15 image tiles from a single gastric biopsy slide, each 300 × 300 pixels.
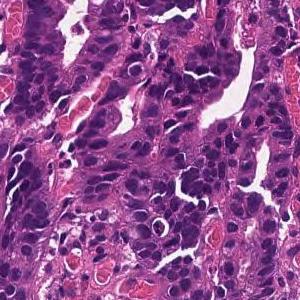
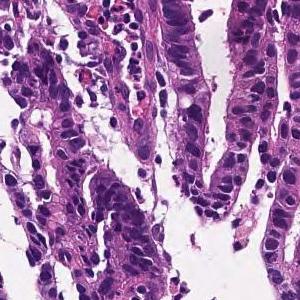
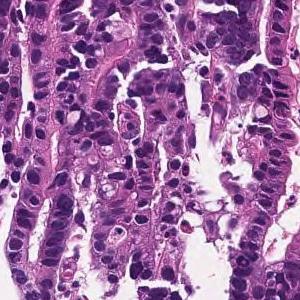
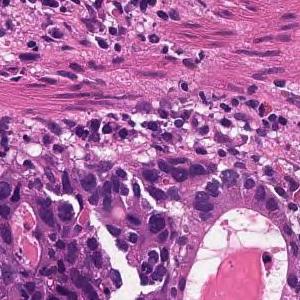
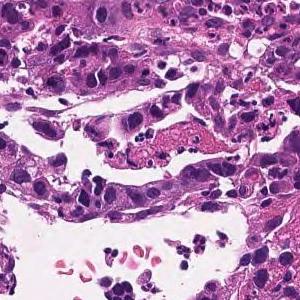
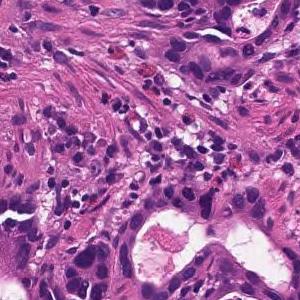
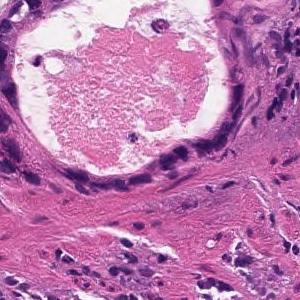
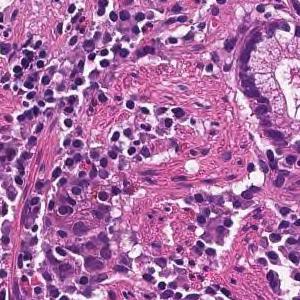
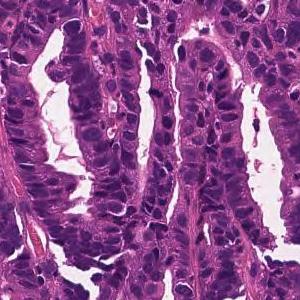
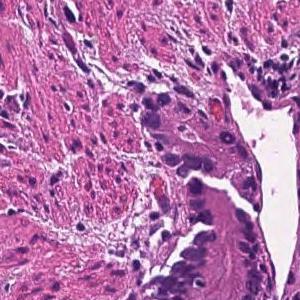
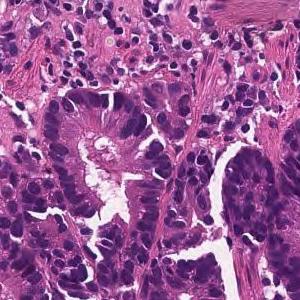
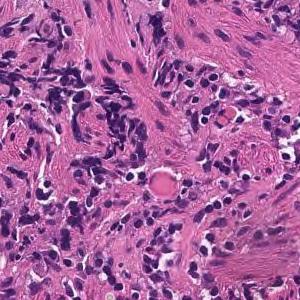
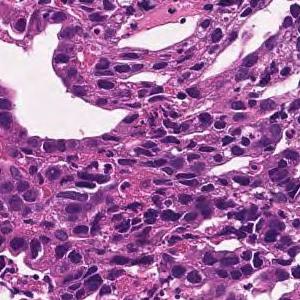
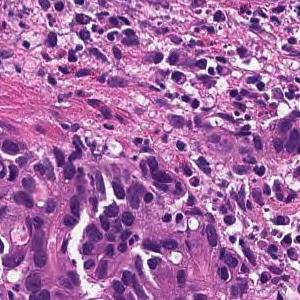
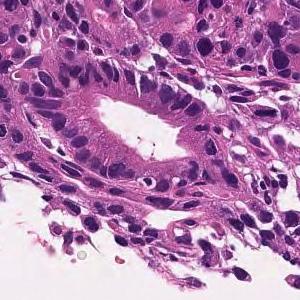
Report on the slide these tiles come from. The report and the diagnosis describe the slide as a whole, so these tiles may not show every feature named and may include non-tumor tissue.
In the superficial epithelium, tumor tissue that invades by forming medium-sized to small, irregular ducts is observed. moderately differentiated tubular adenocarcinoma.
